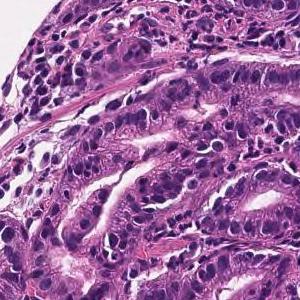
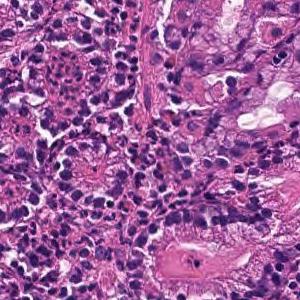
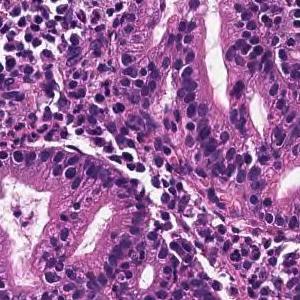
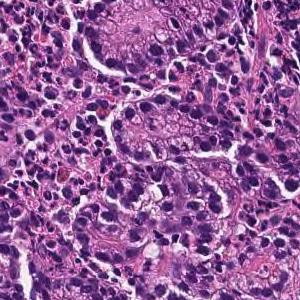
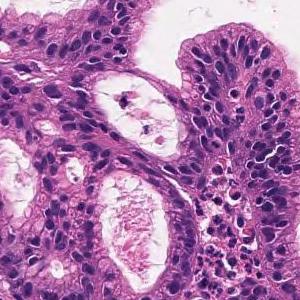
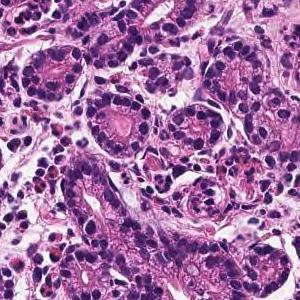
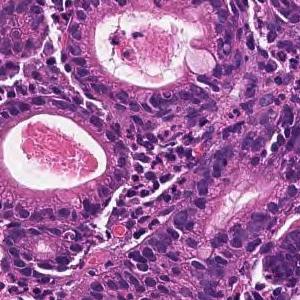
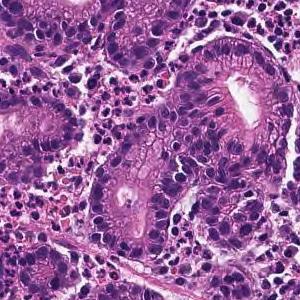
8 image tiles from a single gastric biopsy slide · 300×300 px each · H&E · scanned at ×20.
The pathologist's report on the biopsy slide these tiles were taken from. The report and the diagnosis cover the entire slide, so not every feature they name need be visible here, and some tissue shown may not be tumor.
Tumor tissue infiltrated and proliferated with small to medium-sized irregular tubules is observed in the superficial epithelium. Well differentiated tubular adenocarcinoma
